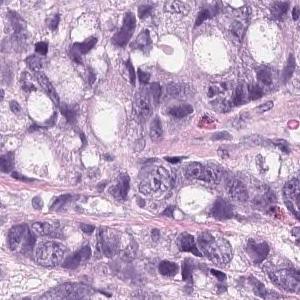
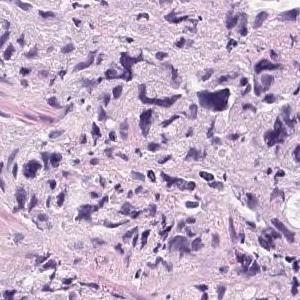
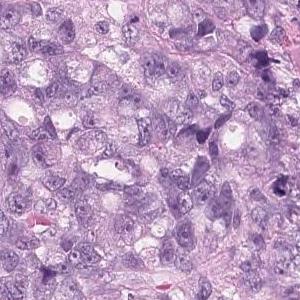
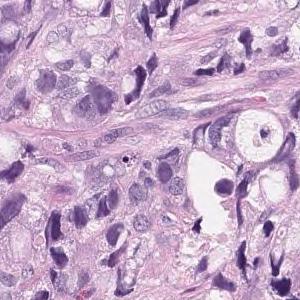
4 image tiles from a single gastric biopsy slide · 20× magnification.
Diagnostic report for the slide these tiles come from. The report and the diagnosis cover the entire slide, so not every feature they name need be visible here, and some tissue shown may not be tumor.
Tumor tissue that infiltrates and proliferates by forming small glandular cavities in the superficial layer to the submucosa or forming a mass is observed. moderately differentiated tubular adenocarcinoma
